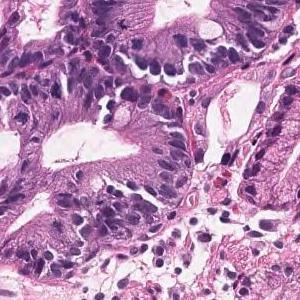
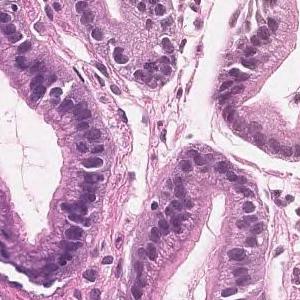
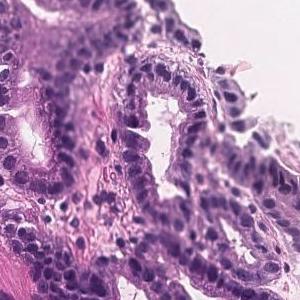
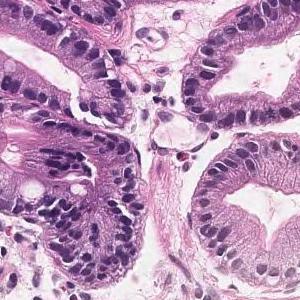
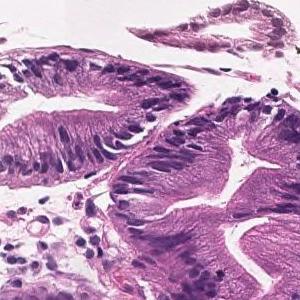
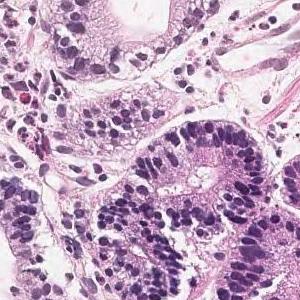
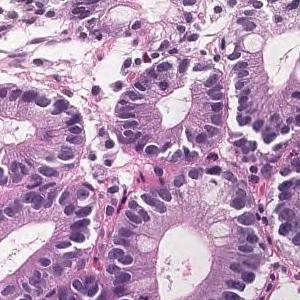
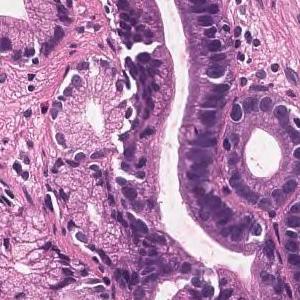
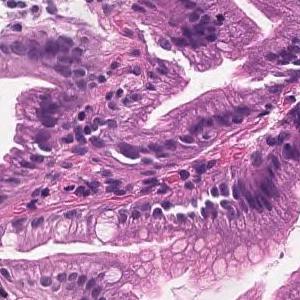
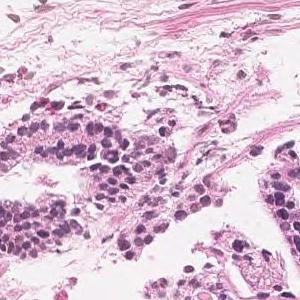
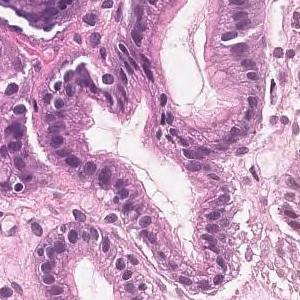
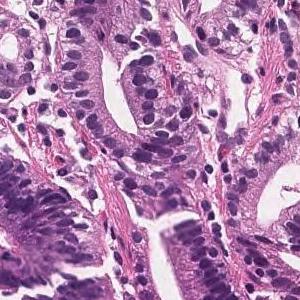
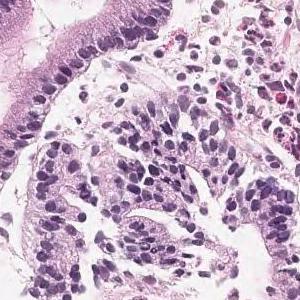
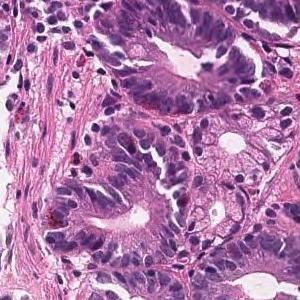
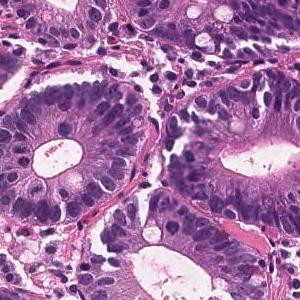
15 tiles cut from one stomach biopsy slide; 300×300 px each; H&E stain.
Diagnostic report for the slide these tiles come from. What the report and the diagnosis say applies to the whole slide; these tiles may miss some of the features named and may include tissue that is not tumor.
Tumor tissue in which medium to small irregular ducts infiltrate and proliferate in the submucosa can be seen in the epithelium. Well differentiated tubular adenocarcinoma
